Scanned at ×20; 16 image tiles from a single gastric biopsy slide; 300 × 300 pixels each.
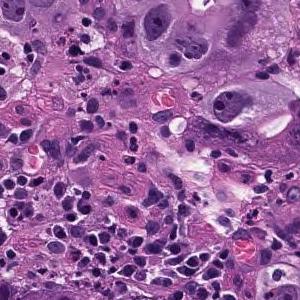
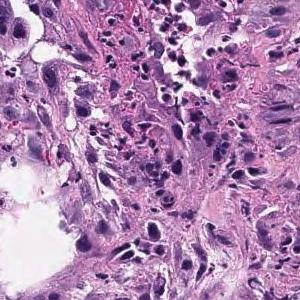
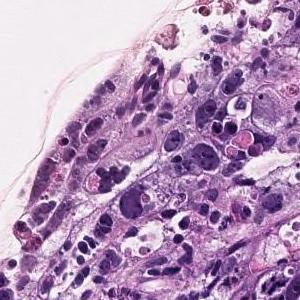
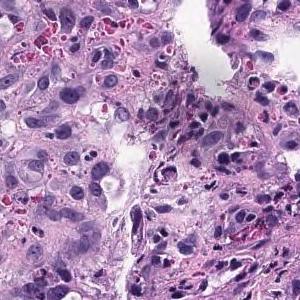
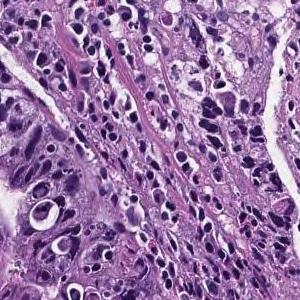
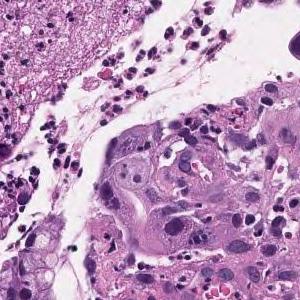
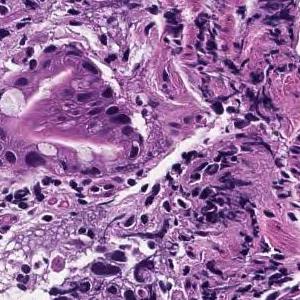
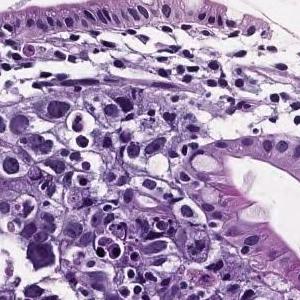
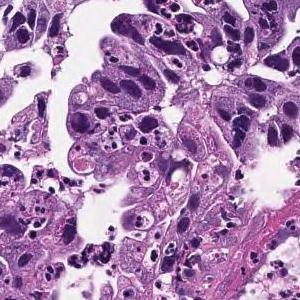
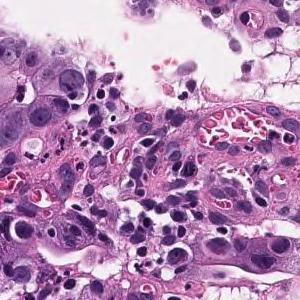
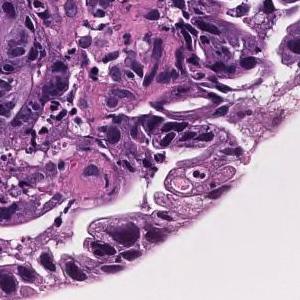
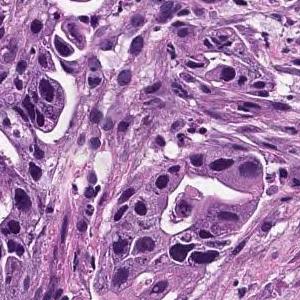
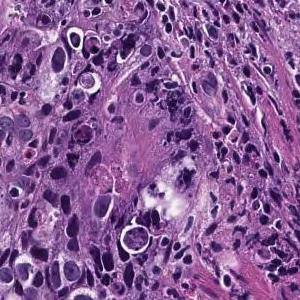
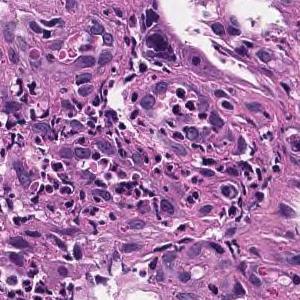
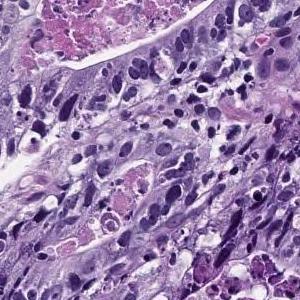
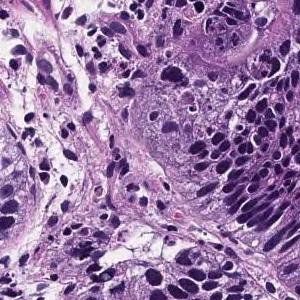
Pathology report for the slide these tiles were cut from. What the report and the diagnosis say applies to the whole slide; these tiles may miss some of the features named and may include tissue that is not tumor.
In the superficial epithelium, medium to small irregular gland ducts are formed, and in some cases, the ducts are fused to show solid alveolar lesions and infiltrating tumor tissue is observed. Moderately to poorly differentiated adenocarcinoma
